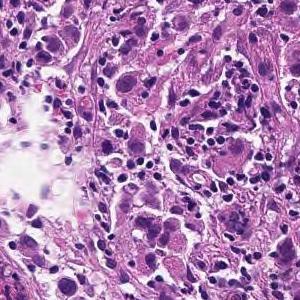
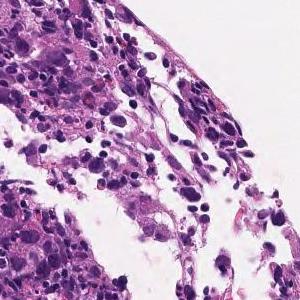
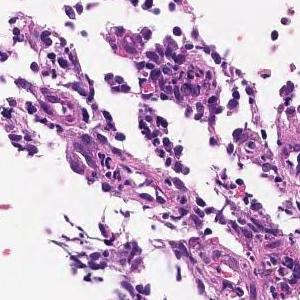
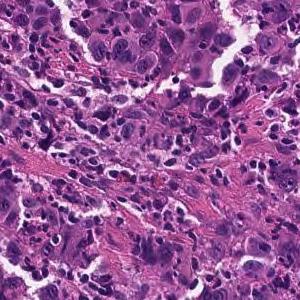
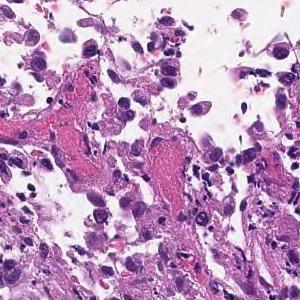
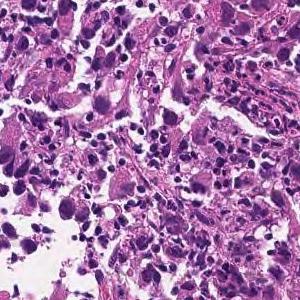
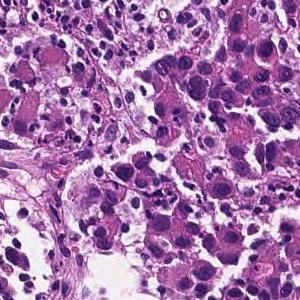
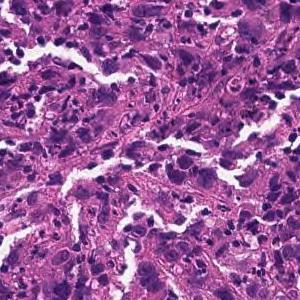
8 tiles from the same stomach biopsy slide; hematoxylin and eosin stain.
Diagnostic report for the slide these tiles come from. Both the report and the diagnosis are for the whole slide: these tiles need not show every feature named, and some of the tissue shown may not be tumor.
The superficial epithelium shows a large sheet-like shape, and some tumor tissue infiltrates with small irregular ducts. Poorly differentiated adenocarcinoma, solid-type (poorly differentiated adenocarcinoma, solid type)
Histologic type: Poorly differentiated adenocarcinoma, solid type (Japanese Classification of Gastric Carcinoma). The WHO 2019 equivalent is tubular adenocarcinoma, poorly differentiated.
